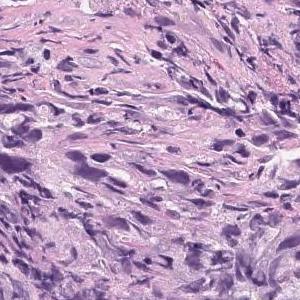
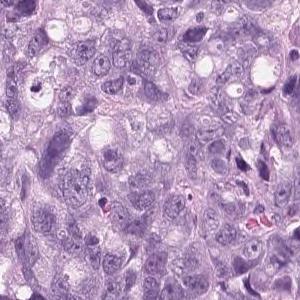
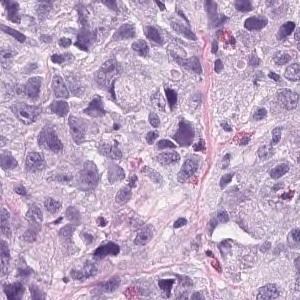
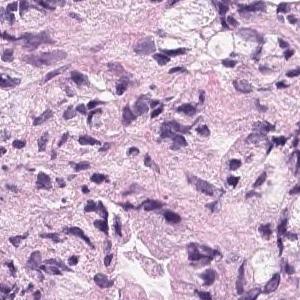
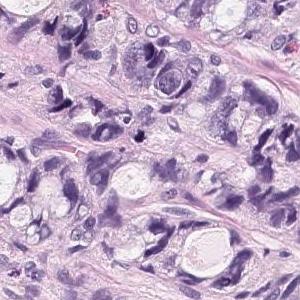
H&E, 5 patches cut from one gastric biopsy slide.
Diagnostic report for the slide these tiles come from. The report and the diagnosis cover the entire slide, so not every feature they name need be visible here, and some tissue shown may not be tumor.
Tumor tissue that infiltrates and proliferates by forming small glandular cavities in the superficial layer to the submucosa or forming a mass is observed. moderately differentiated tubular adenocarcinoma
